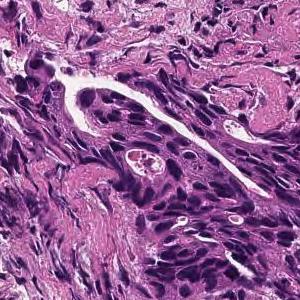
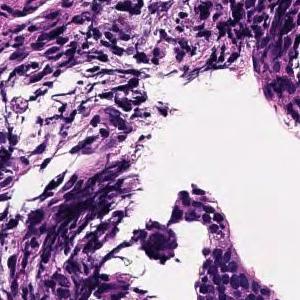
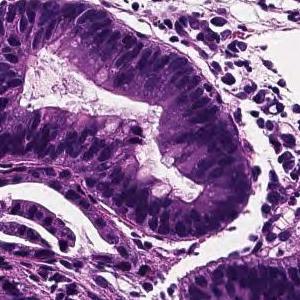
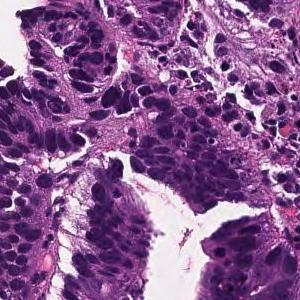
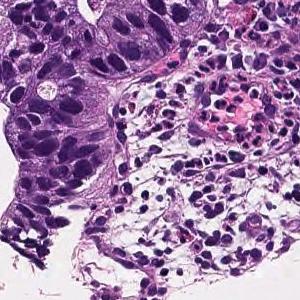
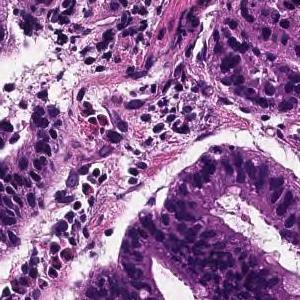
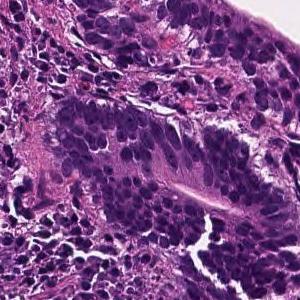
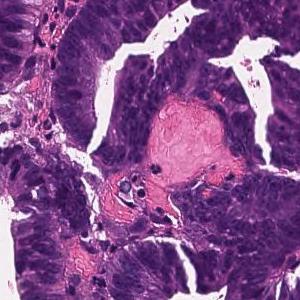
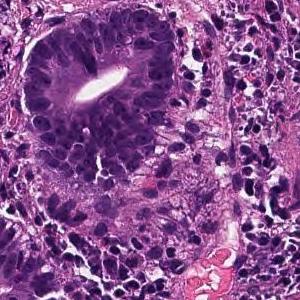
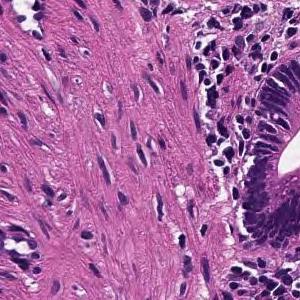
H&E, 10 image tiles from a single gastric biopsy slide.
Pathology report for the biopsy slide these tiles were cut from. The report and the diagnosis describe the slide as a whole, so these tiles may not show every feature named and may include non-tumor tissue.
Tumor tissue consisting of large papillary structures is found in the superficial epithelium. Papillary adenocarcinoma.
